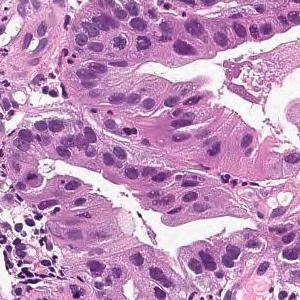
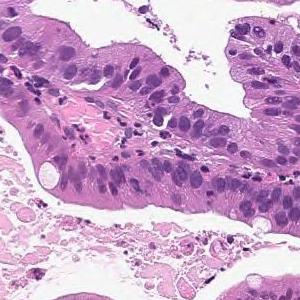
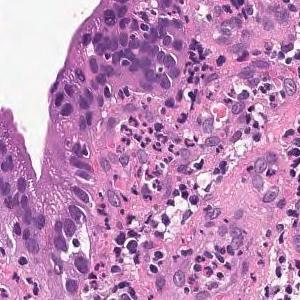
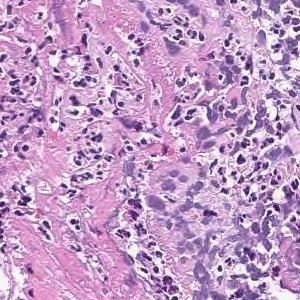
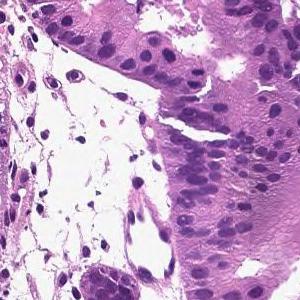
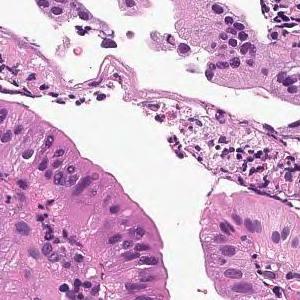
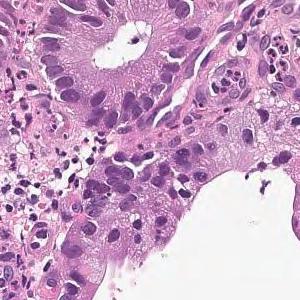
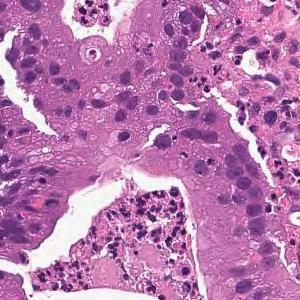
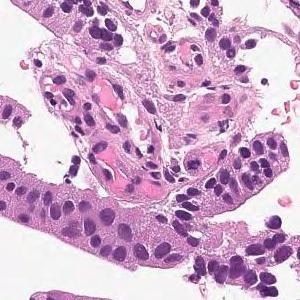
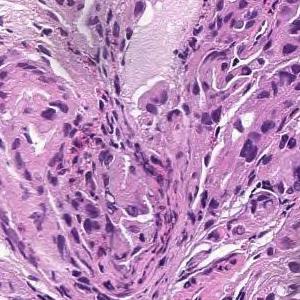
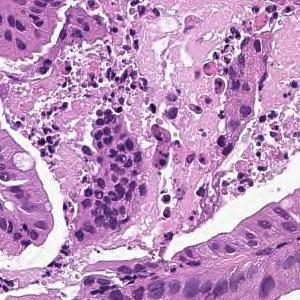
20× magnification, hematoxylin and eosin stain, 11 tiles from the same stomach biopsy slide.
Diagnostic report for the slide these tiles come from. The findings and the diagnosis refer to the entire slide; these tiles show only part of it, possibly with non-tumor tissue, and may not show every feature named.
From the superficial epithelium to the muscularis mucosae, tumor tissue consisting of medium-sized and irregular glandular ducts infiltrating is observed. Well differentiated tubular adenocarcinoma
